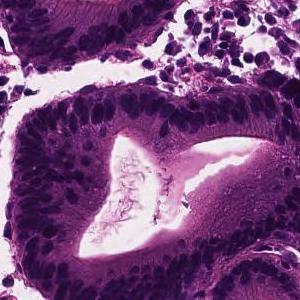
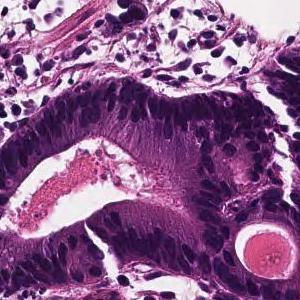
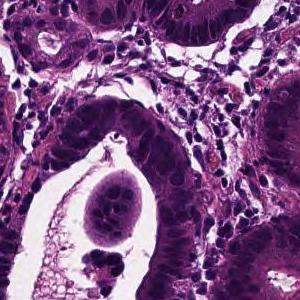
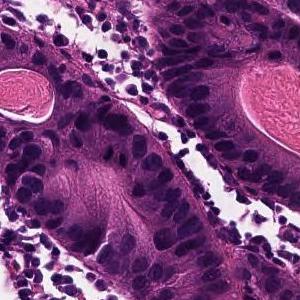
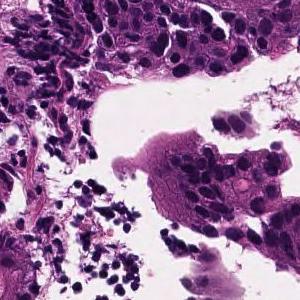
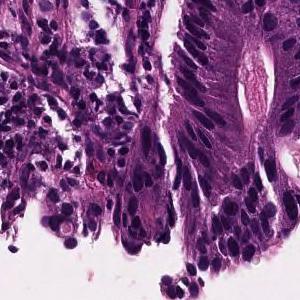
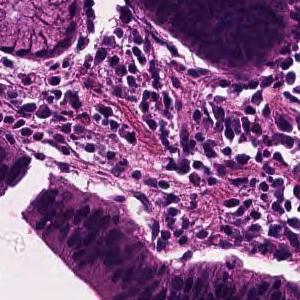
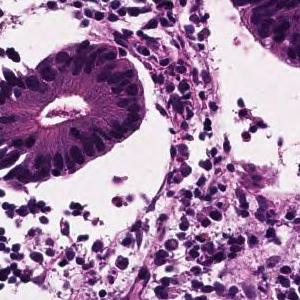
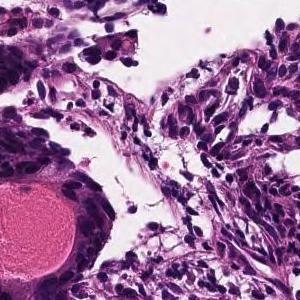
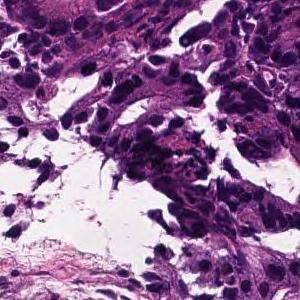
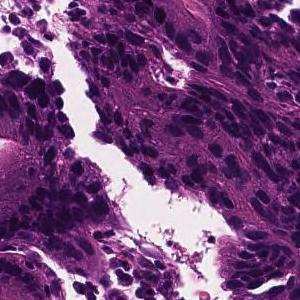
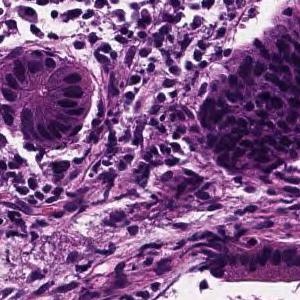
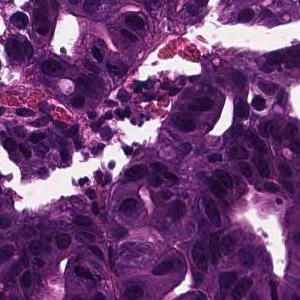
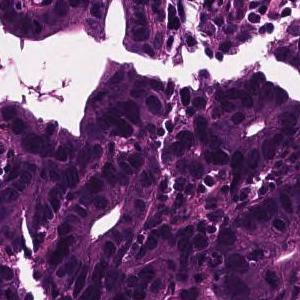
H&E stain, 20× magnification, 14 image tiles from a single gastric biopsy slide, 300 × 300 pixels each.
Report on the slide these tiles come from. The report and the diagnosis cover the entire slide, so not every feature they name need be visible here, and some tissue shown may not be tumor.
In the superficial epithelium, tumor tissue that invades by forming medium-sized to small, irregular ducts is observed. moderately differentiated tubular adenocarcinoma.
